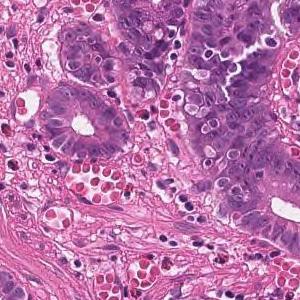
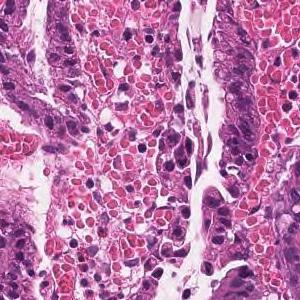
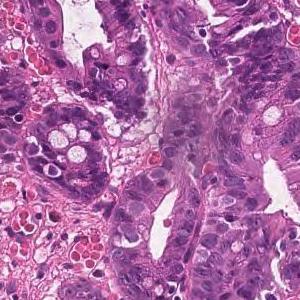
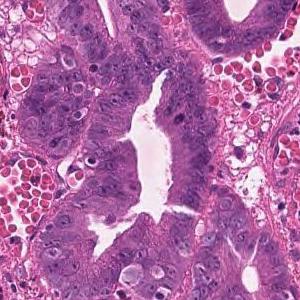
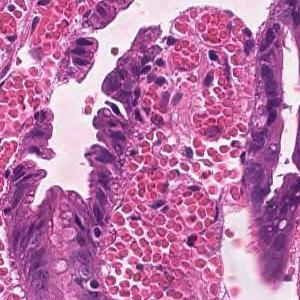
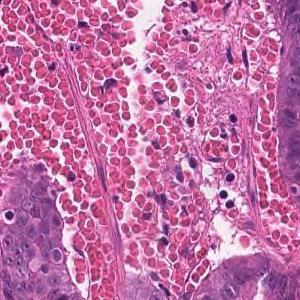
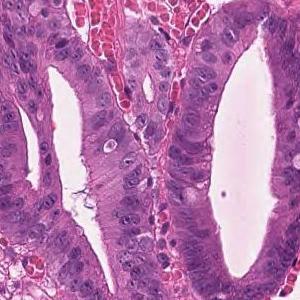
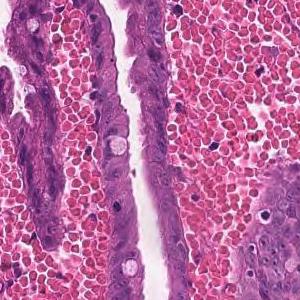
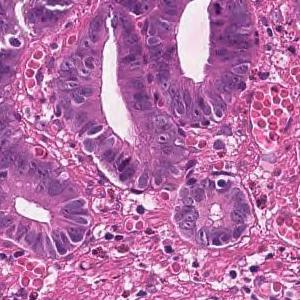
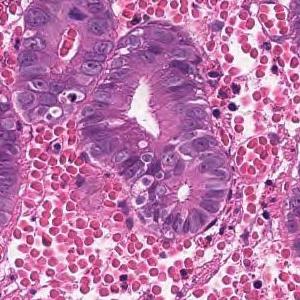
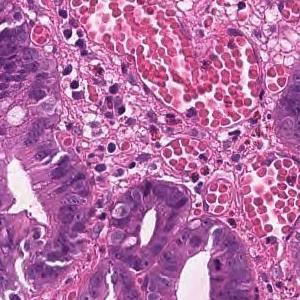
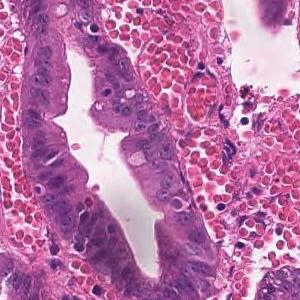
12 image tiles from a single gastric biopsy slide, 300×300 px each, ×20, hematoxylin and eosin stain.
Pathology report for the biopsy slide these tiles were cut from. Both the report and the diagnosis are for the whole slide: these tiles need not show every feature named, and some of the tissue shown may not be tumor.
Well to moderately differentiated tubular adenocarcinoma showing dense growth with irregular fusion of small irregular ducts (well differentiated tubular adenocarcinoma, moderately differentiated tubular adenocarcinoma)
Histologic type: Well to moderately differentiated tubular adenocarcinoma.
